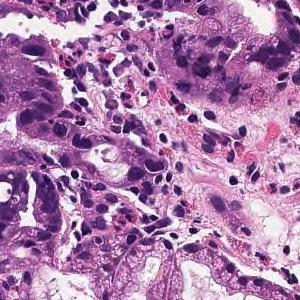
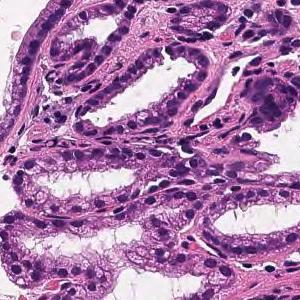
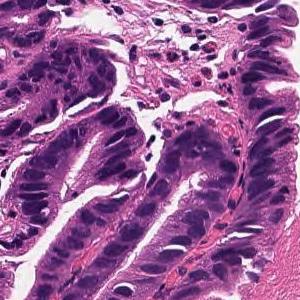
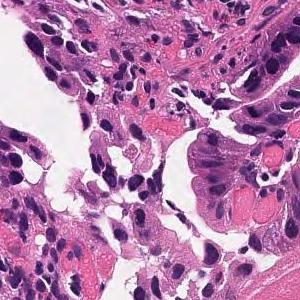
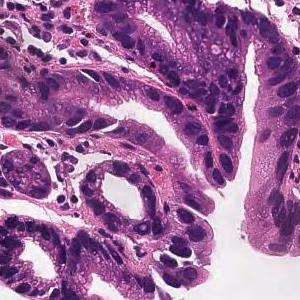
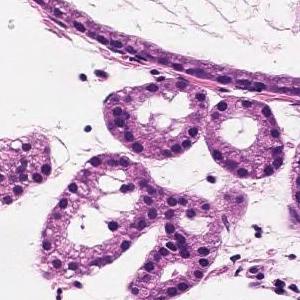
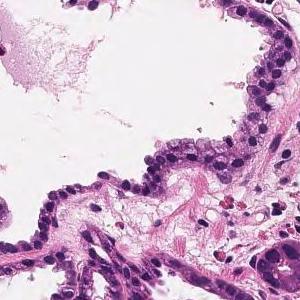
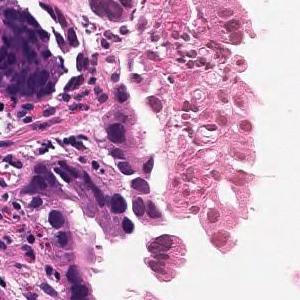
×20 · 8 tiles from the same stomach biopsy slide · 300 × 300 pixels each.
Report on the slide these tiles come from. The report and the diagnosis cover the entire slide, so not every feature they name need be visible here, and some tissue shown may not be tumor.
On the superficial epithelium, tumor tissue consisting of large, irregular glandular ducts partially fused and infiltrated is observed. Well to moderately differentiated tubular adenocarcinoma (well differentiated tubular adenocarcinoma, moderately differentiated tubular adenocarcinoma)
Subtype: Well to moderately differentiated tubular adenocarcinoma.
